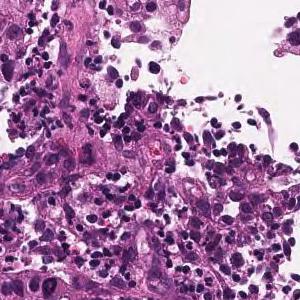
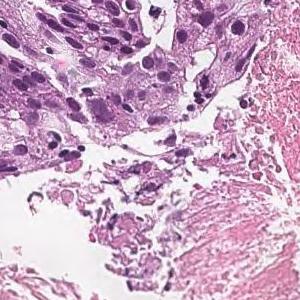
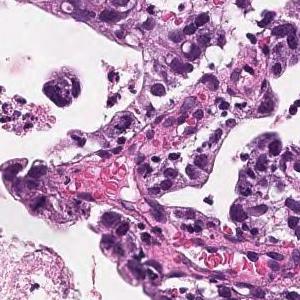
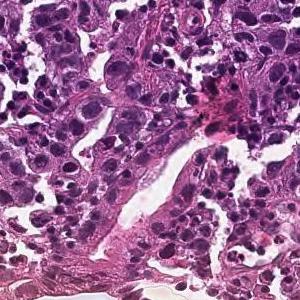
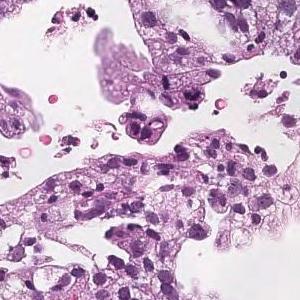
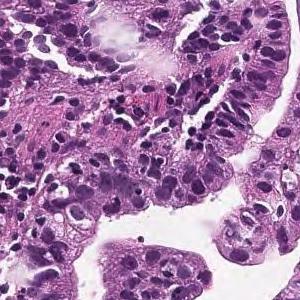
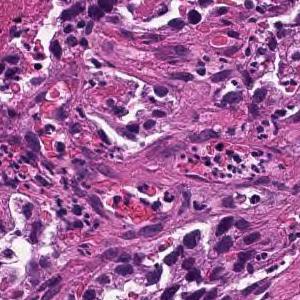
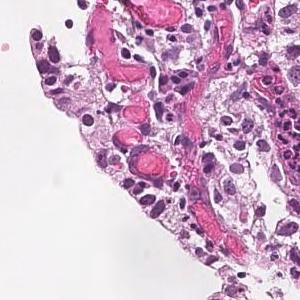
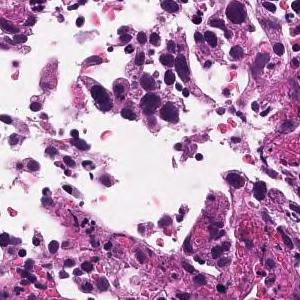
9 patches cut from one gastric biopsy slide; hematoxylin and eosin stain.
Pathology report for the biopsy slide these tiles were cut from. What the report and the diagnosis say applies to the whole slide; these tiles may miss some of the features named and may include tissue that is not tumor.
Tumor tissue consisting of medium-sized, cord-like or irregular glandular infiltration is observed in the superficial epithelium. Poorly differentiated adenocarcinoma, non-solid type or moderately differentiated tubular adenocarcinoma
Subtype: Moderately to poorly differentiated adenocarcinoma.
The non-solid type named here is a Japanese Classification of Gastric Carcinoma category.
